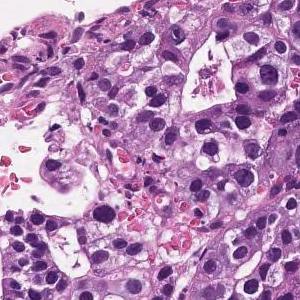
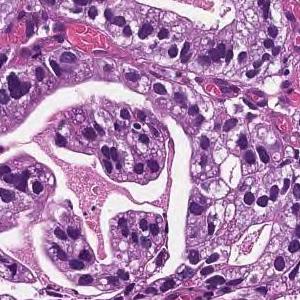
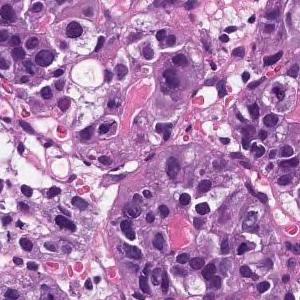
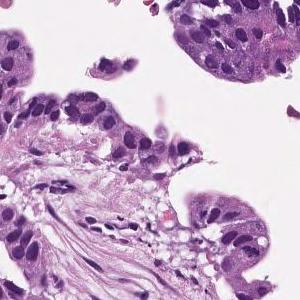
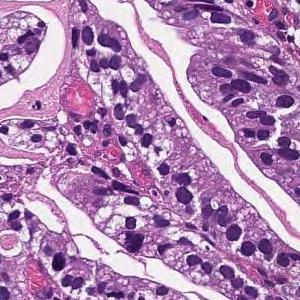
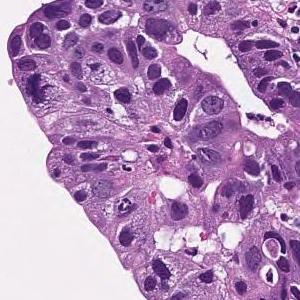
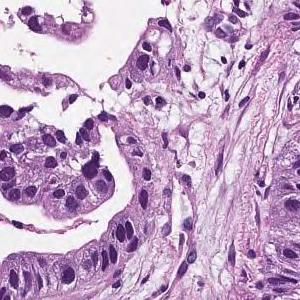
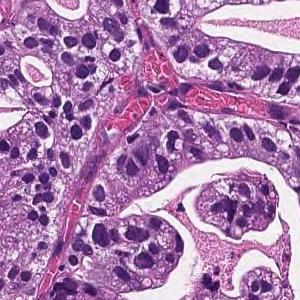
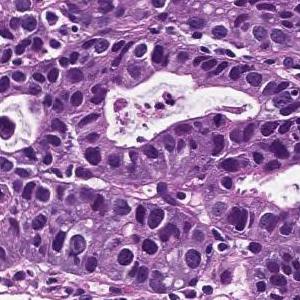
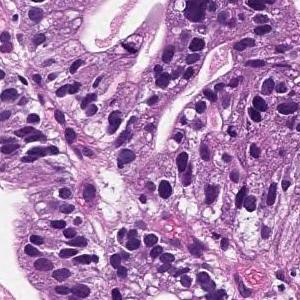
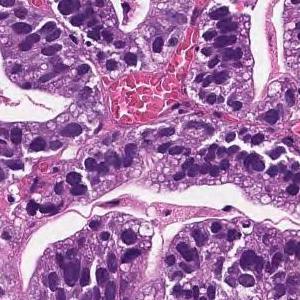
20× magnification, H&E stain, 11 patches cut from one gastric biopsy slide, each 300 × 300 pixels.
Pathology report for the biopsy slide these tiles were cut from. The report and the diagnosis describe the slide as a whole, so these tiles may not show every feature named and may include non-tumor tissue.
On the superficial epithelium, tumor tissue consisting of large, irregular glandular ducts partially fused and infiltrated is observed. Well to moderately differentiated tubular adenocarcinoma (well differentiated tubular adenocarcinoma, moderately differentiated tubular adenocarcinoma)
Histologic type: Well to moderately differentiated tubular adenocarcinoma.
